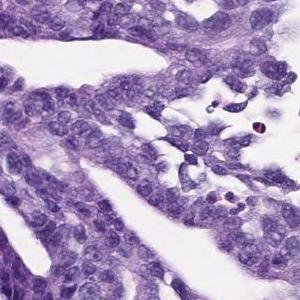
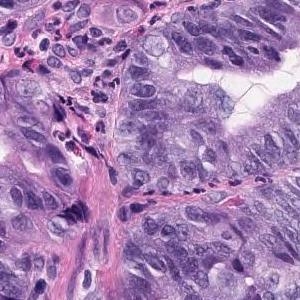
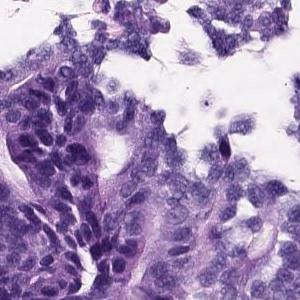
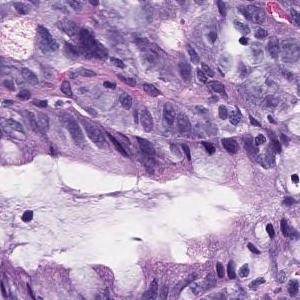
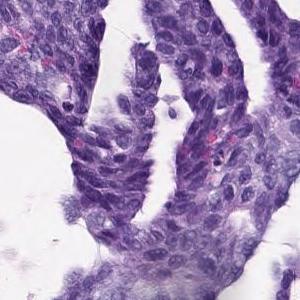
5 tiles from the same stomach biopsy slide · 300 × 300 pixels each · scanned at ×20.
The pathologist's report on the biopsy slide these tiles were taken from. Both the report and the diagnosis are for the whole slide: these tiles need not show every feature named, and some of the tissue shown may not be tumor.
In the superficial epithelium, tumor tissue that invades by forming medium-sized to small, irregular ducts is observed. Well to moderately differentiated tubular adenocarcinoma.
